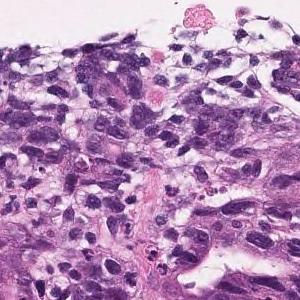
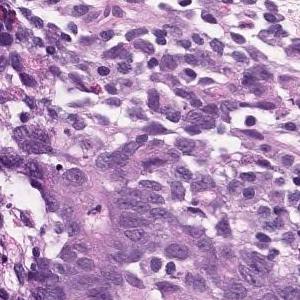
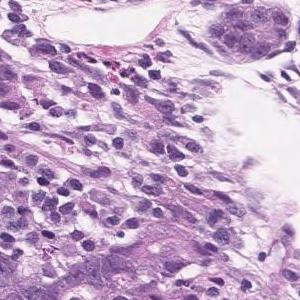
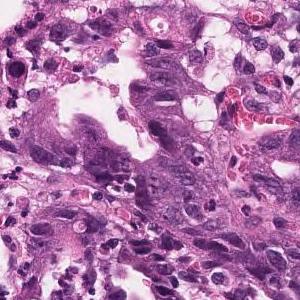
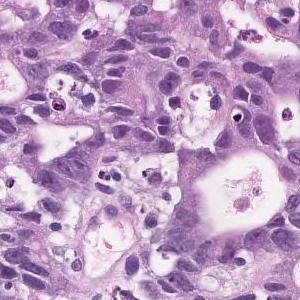
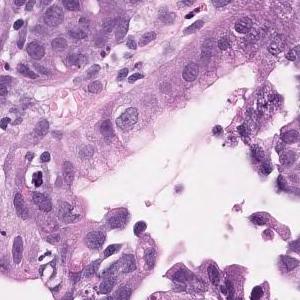
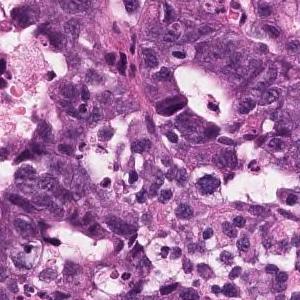
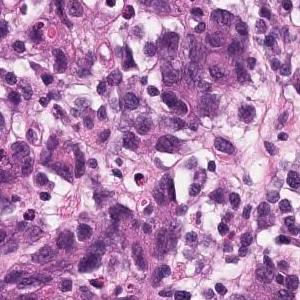
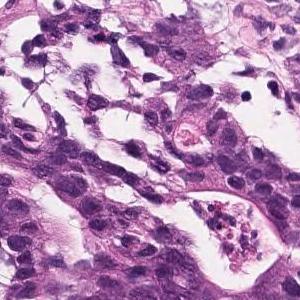
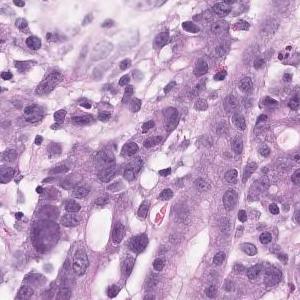
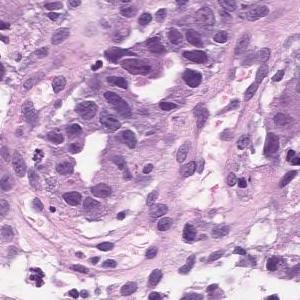
H&E, 11 patches cut from one gastric biopsy slide.
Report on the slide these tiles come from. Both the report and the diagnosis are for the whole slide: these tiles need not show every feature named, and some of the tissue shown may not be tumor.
It is mixed with the existing pit epithelium and pyloric gland epithelium, and irregularly fused and branched atypical ducts are observed. Moderately differentiated tubular adenocarcinoma (well differentiated tubular adenocarcinoma)
Labeled in the dataset as moderately differentiated tubular adenocarcinoma.
